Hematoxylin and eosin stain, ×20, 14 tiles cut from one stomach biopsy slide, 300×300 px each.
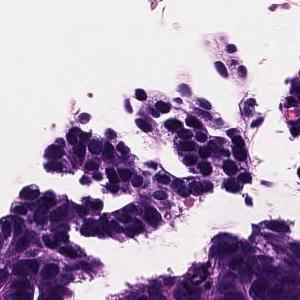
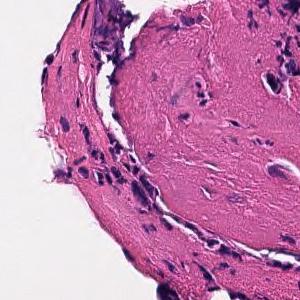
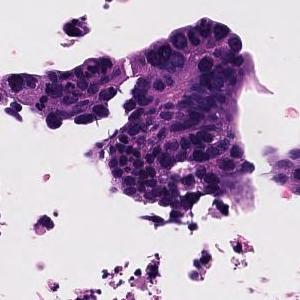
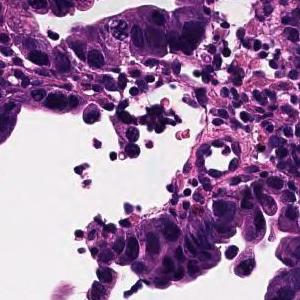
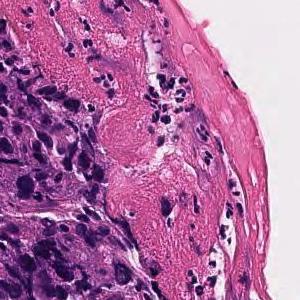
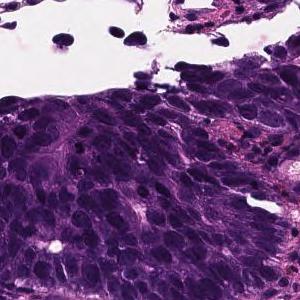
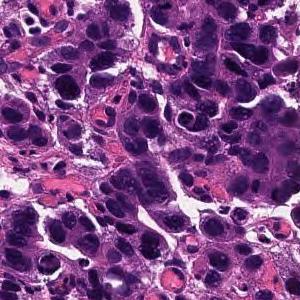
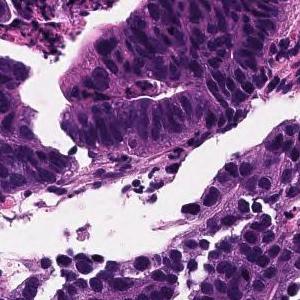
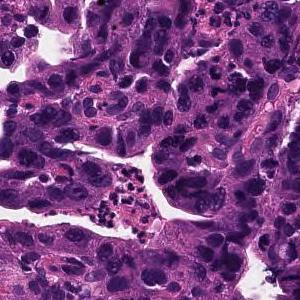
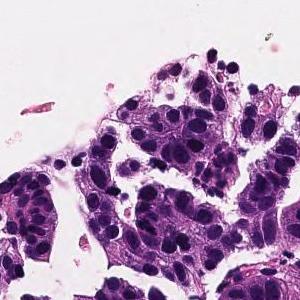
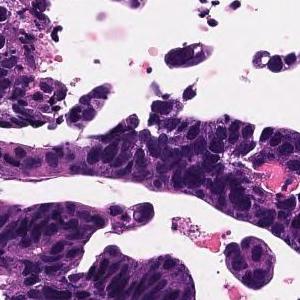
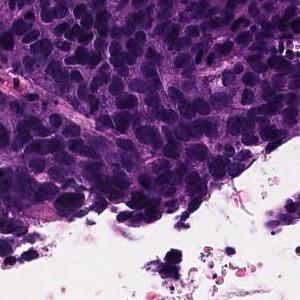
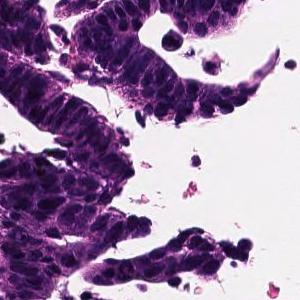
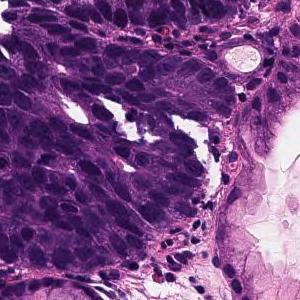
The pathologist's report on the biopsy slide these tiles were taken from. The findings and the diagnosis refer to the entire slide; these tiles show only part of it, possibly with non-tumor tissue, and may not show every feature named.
In the superficial epithelium, tumor tissue that invades by forming medium-sized to small, irregular ducts is observed. moderately differentiated tubular adenocarcinoma.
